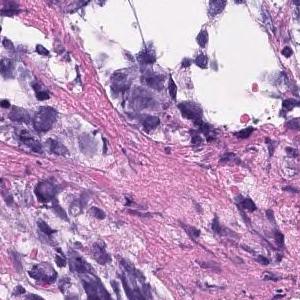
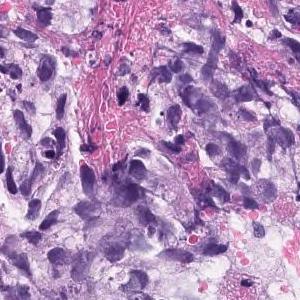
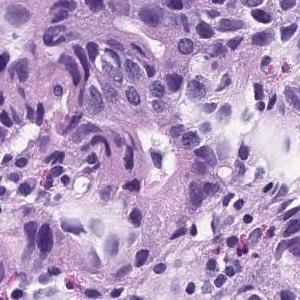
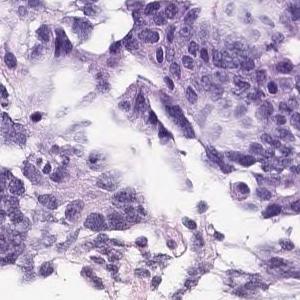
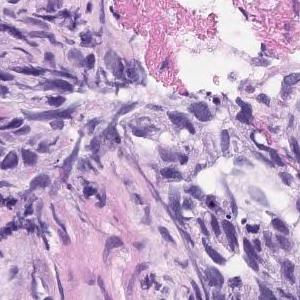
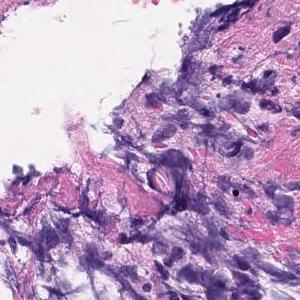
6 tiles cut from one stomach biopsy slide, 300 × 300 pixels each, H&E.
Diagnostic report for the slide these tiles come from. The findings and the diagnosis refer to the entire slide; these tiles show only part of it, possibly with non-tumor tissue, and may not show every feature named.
In the superficial epithelium, tumor tissue that invades by forming medium-sized to small, irregular ducts is observed. Moderately differentiated adenocarcinoma.
Histological subtype: Moderately differentiated tubular adenocarcinoma.
